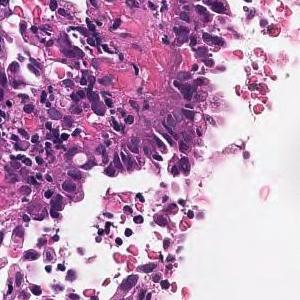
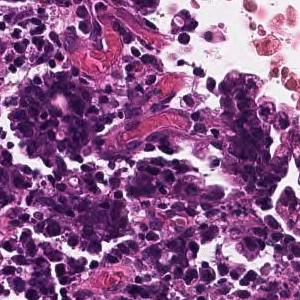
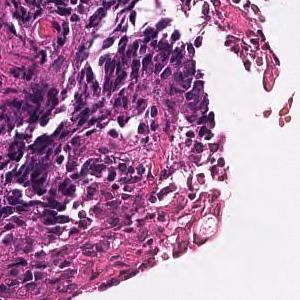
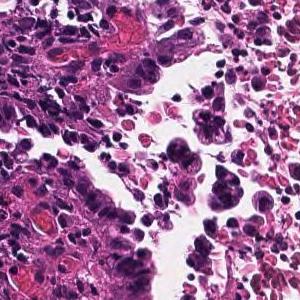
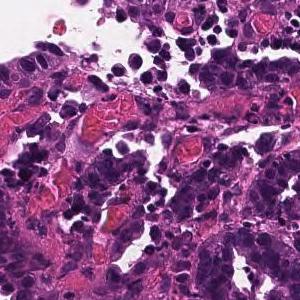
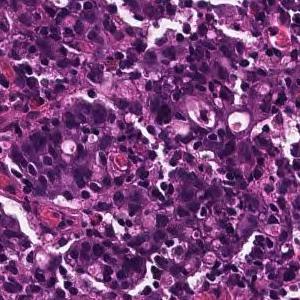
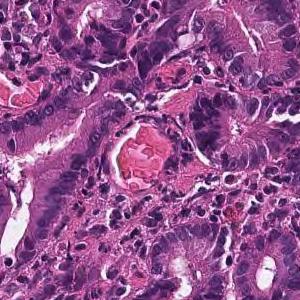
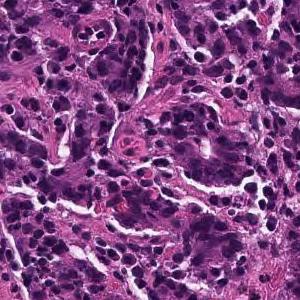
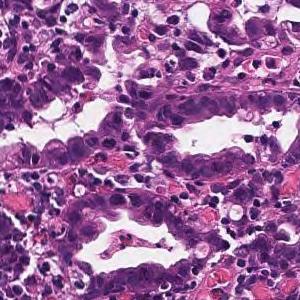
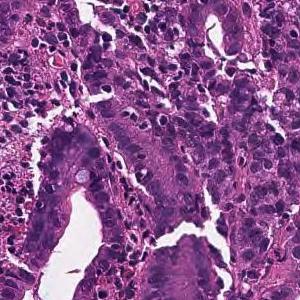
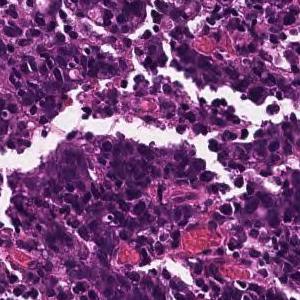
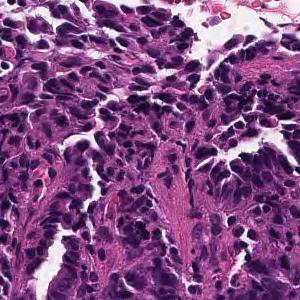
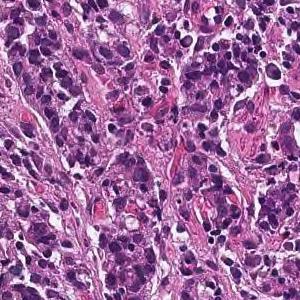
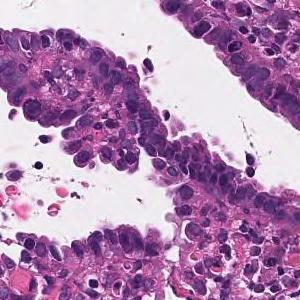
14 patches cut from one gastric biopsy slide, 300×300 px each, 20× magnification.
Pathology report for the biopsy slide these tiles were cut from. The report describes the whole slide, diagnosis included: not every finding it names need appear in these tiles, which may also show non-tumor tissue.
In the superficial epithelium, tumor tissue that invades by forming medium-sized to small, irregular ducts is observed. moderately differentiated tubular adenocarcinoma.
